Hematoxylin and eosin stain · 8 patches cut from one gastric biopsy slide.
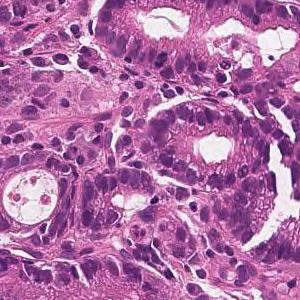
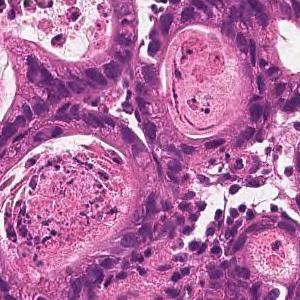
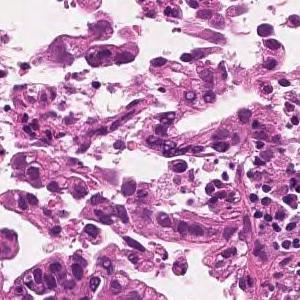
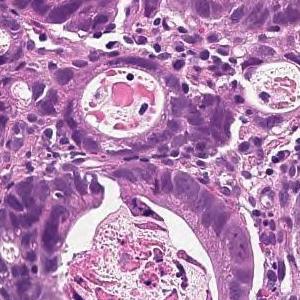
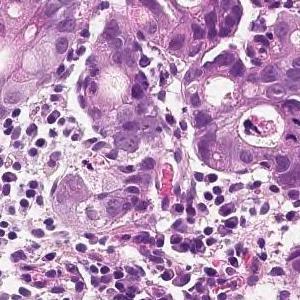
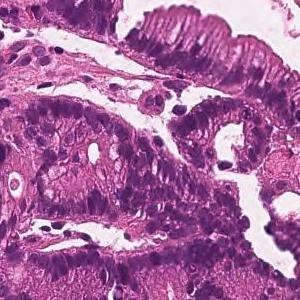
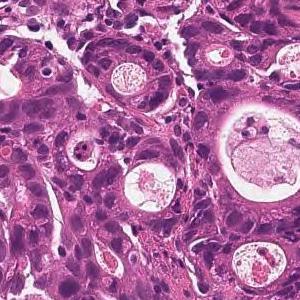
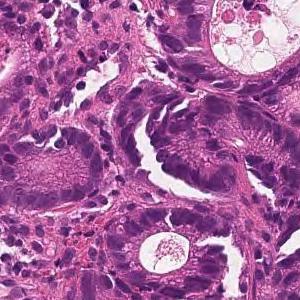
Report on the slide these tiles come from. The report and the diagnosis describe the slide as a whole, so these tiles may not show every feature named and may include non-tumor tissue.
On the superficial epithelium, tumor tissue is found in which medium-sized irregular gland ducts fuse with each other and infiltrate. moderately differentiated tubular adenocarcinoma
